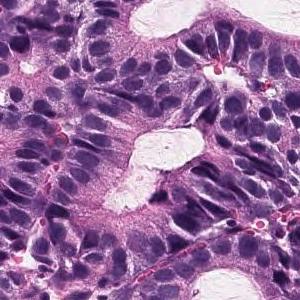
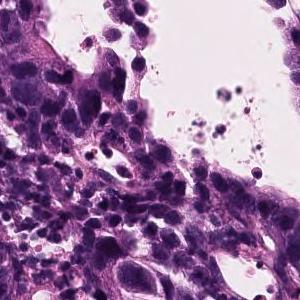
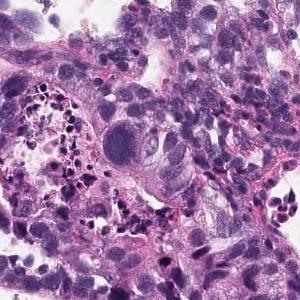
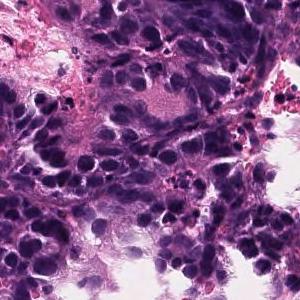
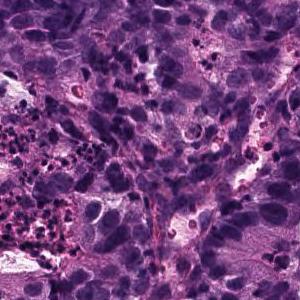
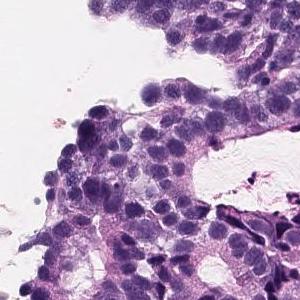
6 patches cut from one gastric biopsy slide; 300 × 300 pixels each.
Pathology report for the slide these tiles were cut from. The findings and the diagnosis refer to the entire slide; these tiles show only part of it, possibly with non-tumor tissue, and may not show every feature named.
In the superficial epithelium, tumor tissue that invades by forming medium-sized to small, irregular ducts is observed. moderately differentiated tubular adenocarcinoma.
